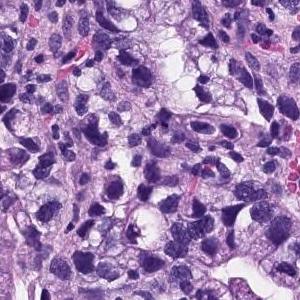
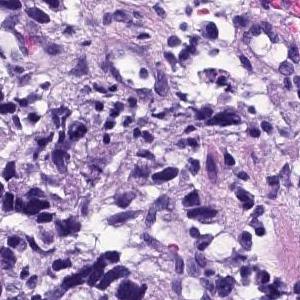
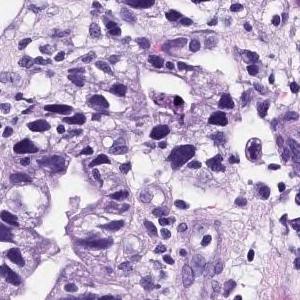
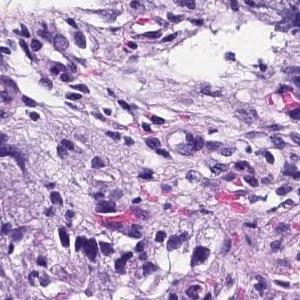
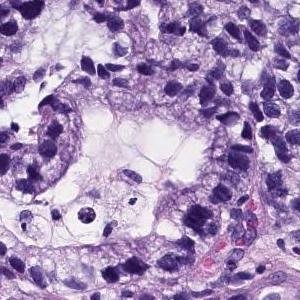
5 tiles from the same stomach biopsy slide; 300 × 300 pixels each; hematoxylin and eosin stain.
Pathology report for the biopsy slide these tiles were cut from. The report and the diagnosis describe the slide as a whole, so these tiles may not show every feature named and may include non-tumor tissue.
Medium to small, irregular glandular ducts are formed in the superficial epithelium, and in some cases, the glandular ducts are fused to show solid alveolar lesions and infiltrating tumor tissue is observed. Poorly differentiated adenocarcinoma, Moderately differentiated adenocarcinoma.
Dataset label: moderately differentiated tubular adenocarcinoma.
